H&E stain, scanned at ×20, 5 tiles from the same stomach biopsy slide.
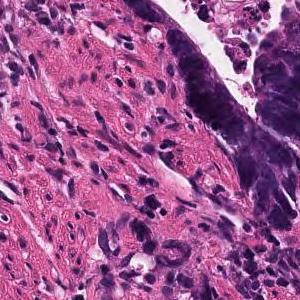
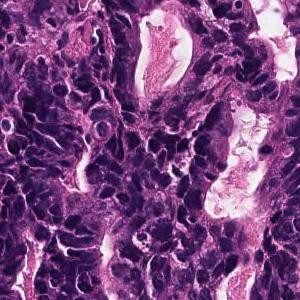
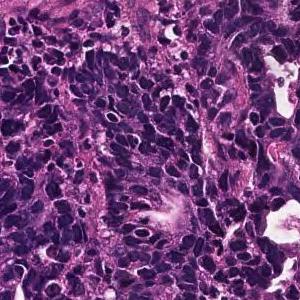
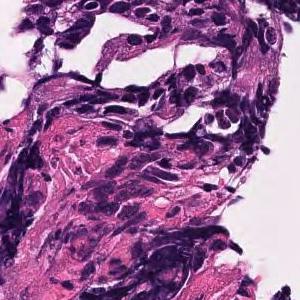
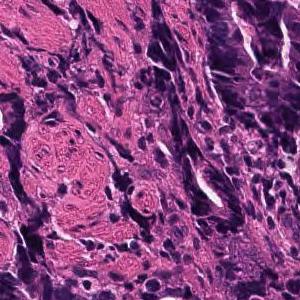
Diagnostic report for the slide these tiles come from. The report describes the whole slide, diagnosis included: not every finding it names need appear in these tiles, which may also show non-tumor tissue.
Large and small irregular small glandular ducts forming and infiltrating. moderately differentiated tubular adenocarcinoma
